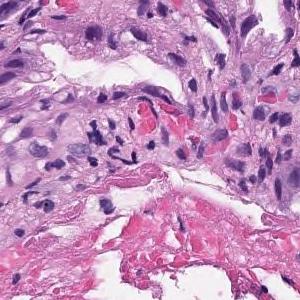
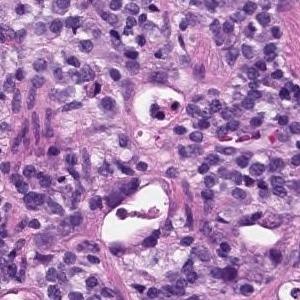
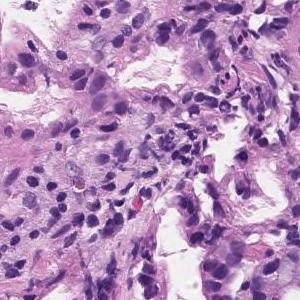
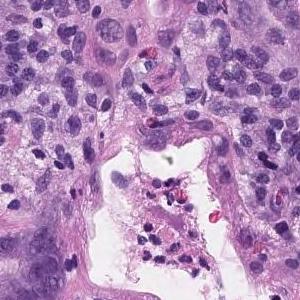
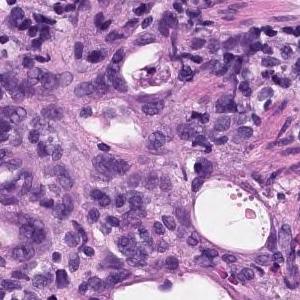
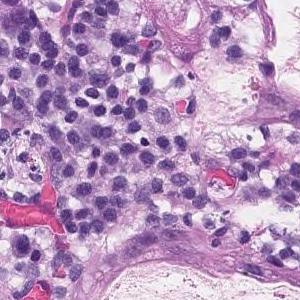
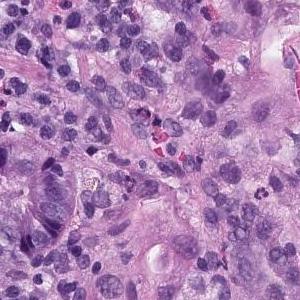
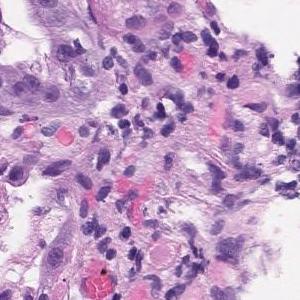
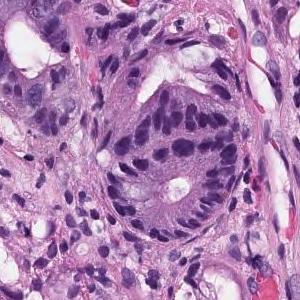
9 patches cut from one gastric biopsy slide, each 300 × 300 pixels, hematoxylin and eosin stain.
The pathologist's report on the biopsy slide these tiles were taken from. The report describes the whole slide, diagnosis included: not every finding it names need appear in these tiles, which may also show non-tumor tissue.
In the superficial epithelium, tumor tissue that invades by forming medium-sized to small, irregular ducts is observed. Moderately differentiated adenocarcinoma.
Classified as moderately differentiated tubular adenocarcinoma.
